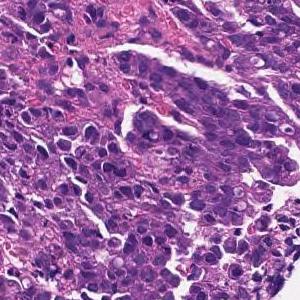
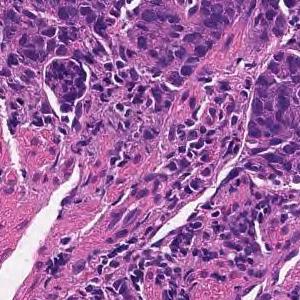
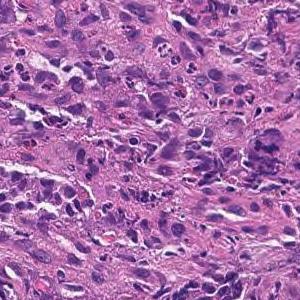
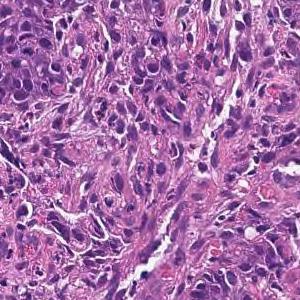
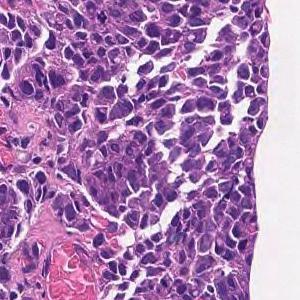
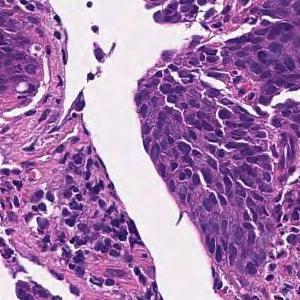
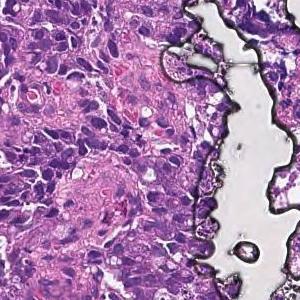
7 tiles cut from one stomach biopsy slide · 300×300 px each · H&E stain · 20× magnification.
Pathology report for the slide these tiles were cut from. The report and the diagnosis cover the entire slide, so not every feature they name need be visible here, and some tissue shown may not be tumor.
Tumor tissue consisting of cord-like or small, irregular glandular ducts fused and infiltrated is observed in the superficial epithelium. Poorly differentiated adenocarcinoma, non-solid type
The term "non-solid type" comes from the Japanese Classification of Gastric Carcinoma.
